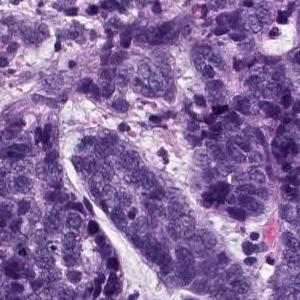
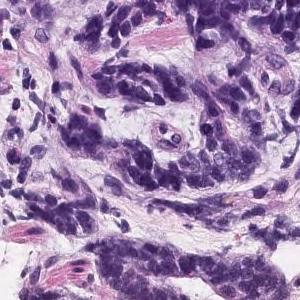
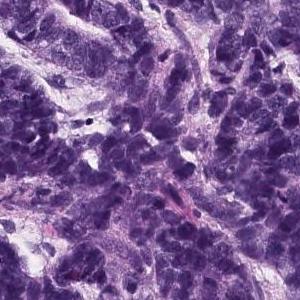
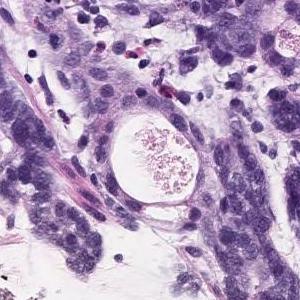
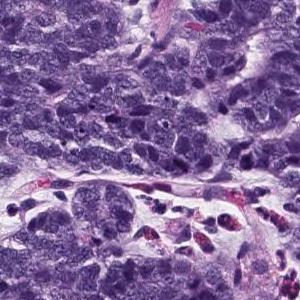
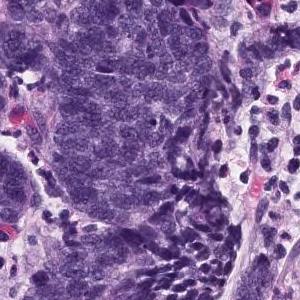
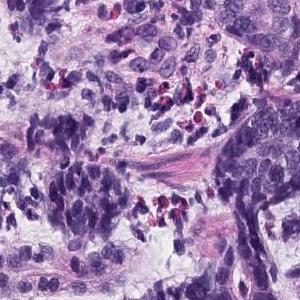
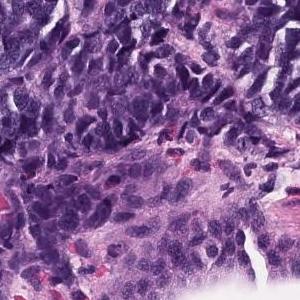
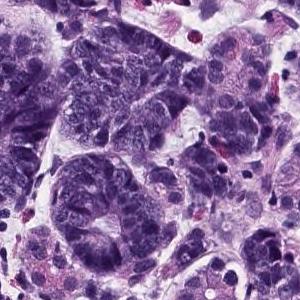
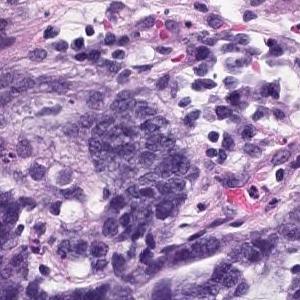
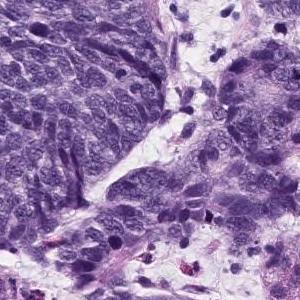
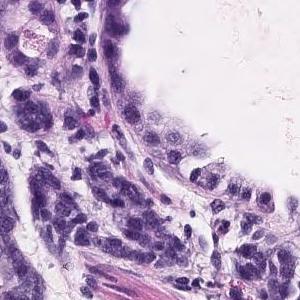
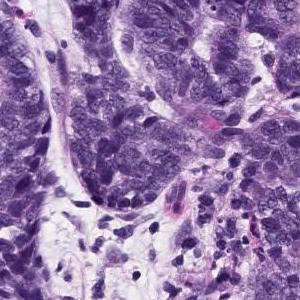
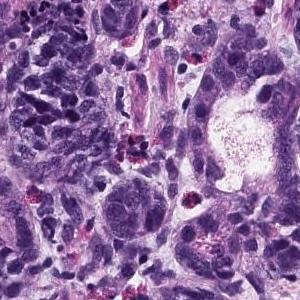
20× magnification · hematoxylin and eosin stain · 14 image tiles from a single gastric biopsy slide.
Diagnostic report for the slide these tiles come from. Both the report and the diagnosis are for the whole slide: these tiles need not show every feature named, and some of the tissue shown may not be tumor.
Group 5, Adenocarcinoma. Moderately to poorly differentiated adenocarcinoma
